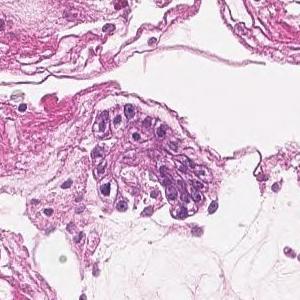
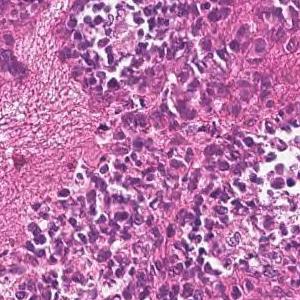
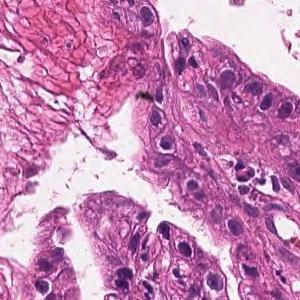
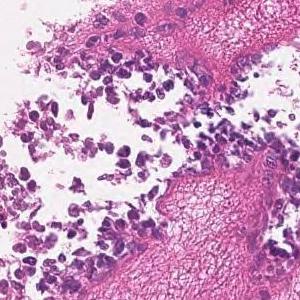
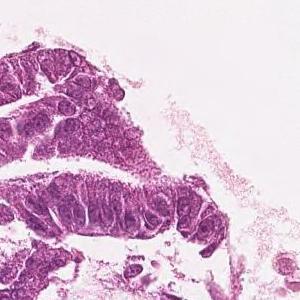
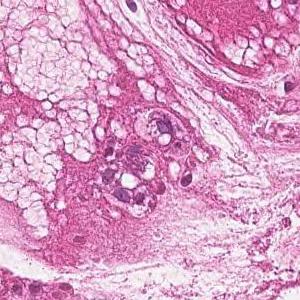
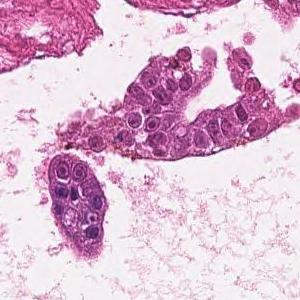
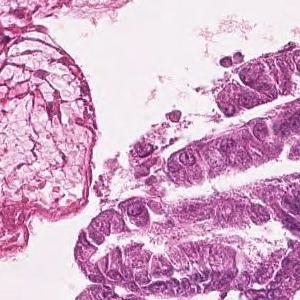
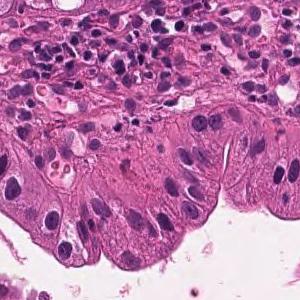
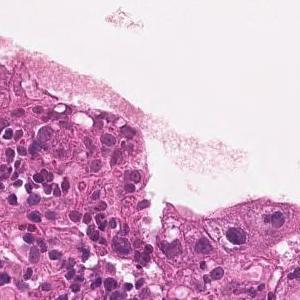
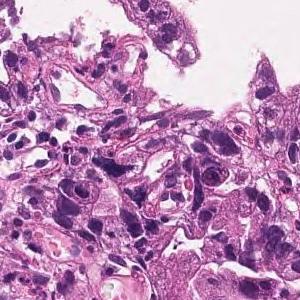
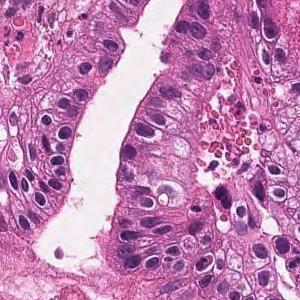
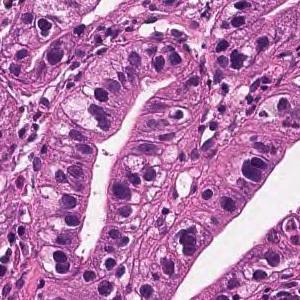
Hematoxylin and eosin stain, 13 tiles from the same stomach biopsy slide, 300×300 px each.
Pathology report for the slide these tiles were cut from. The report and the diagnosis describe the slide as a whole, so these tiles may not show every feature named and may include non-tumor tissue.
Tumor cells are large, highly columnar, large club-shaped nuclei, and are associated with chromatin aggregation. Papillary adenocarcinoma.
